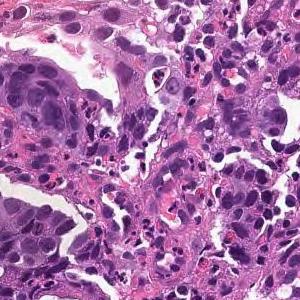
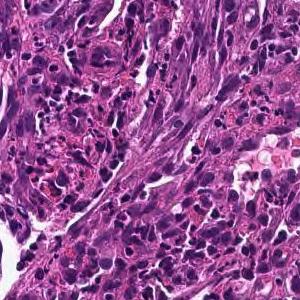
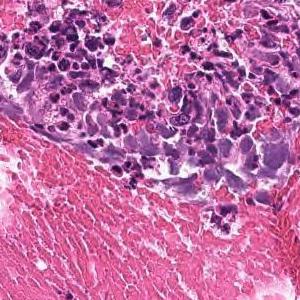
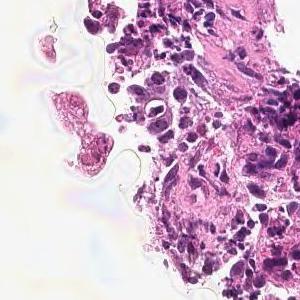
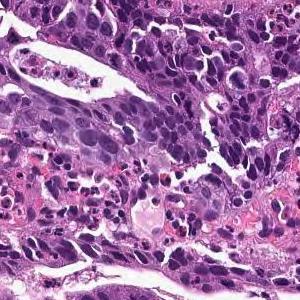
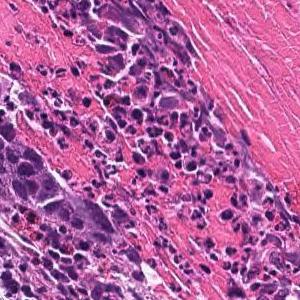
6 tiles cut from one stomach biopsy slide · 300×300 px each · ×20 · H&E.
Pathology report for the slide these tiles were cut from. The report and the diagnosis cover the entire slide, so not every feature they name need be visible here, and some tissue shown may not be tumor.
In the superficial epithelium, tumor tissue that invades by forming medium-sized to small, irregular ducts is observed. moderately differentiated tubular adenocarcinoma.
